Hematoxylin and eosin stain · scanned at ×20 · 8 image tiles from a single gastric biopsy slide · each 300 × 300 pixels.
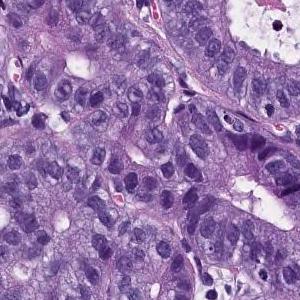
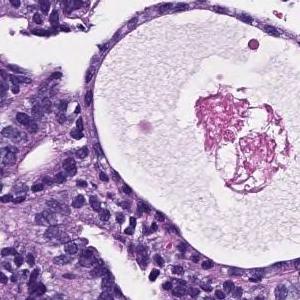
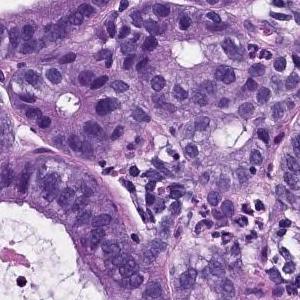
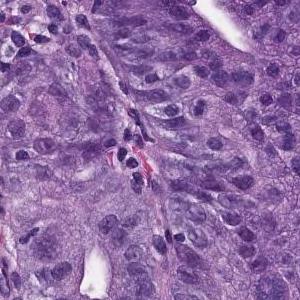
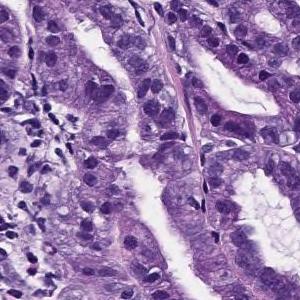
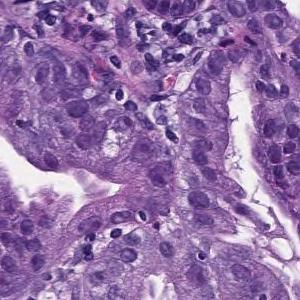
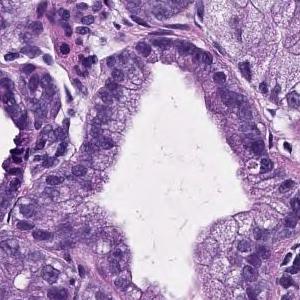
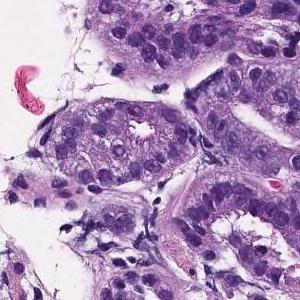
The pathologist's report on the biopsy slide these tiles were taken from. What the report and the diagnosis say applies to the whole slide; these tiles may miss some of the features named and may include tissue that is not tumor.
On the superficial epithelium, tumor tissue that infiltrates by forming medium-sized papillary or small irregular ducts is observed. Papillary adenocarcinoma
